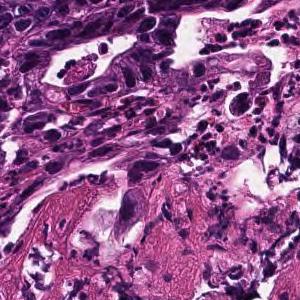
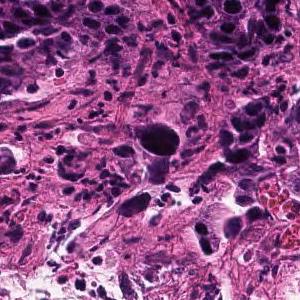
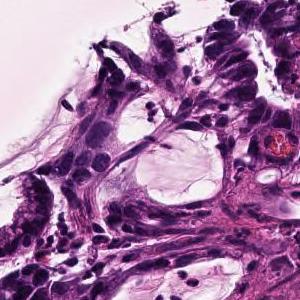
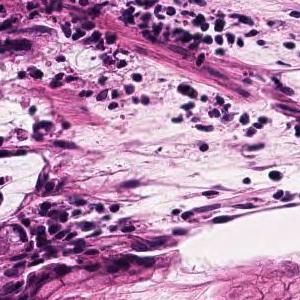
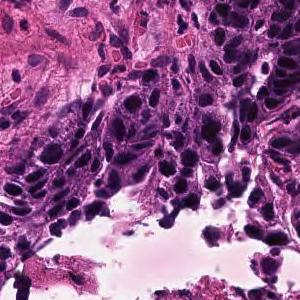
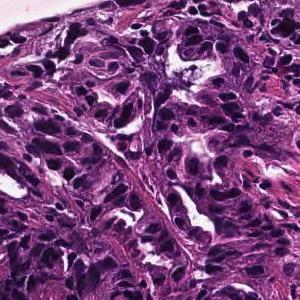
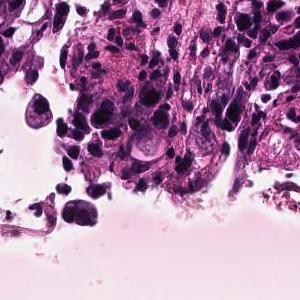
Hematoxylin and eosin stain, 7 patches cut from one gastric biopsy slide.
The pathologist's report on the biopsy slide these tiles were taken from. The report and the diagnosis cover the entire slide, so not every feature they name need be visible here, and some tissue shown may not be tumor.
In the superficial epithelium, tumor tissue that invades by forming medium-sized to small, irregular ducts is observed. moderately differentiated tubular adenocarcinoma.
